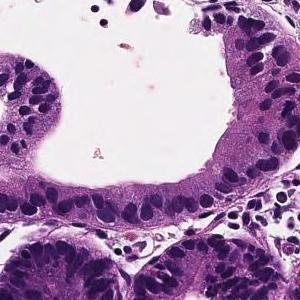
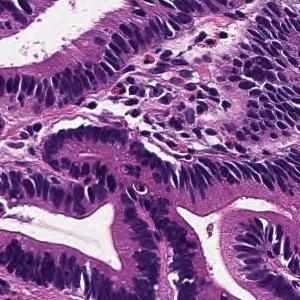
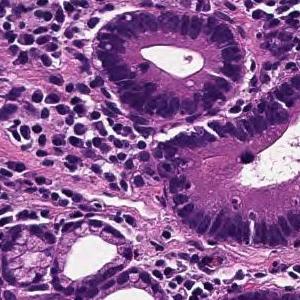
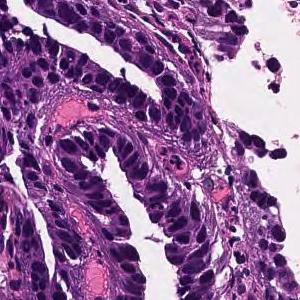
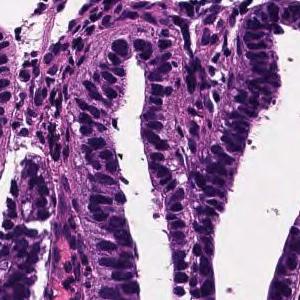
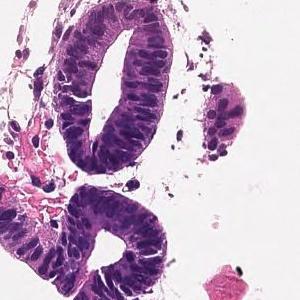
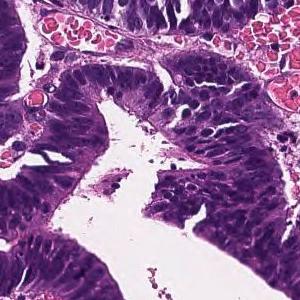
H&E · 7 tiles cut from one stomach biopsy slide · 300 × 300 pixels each.
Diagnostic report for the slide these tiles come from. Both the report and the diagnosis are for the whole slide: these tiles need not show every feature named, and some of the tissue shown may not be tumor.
Tumor tissue consisting of large papillary structures is found in the superficial epithelium. Papillary adenocarcinoma.
